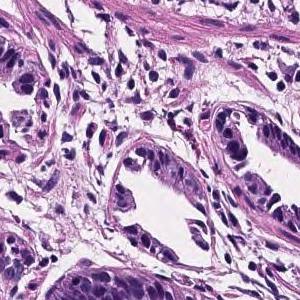
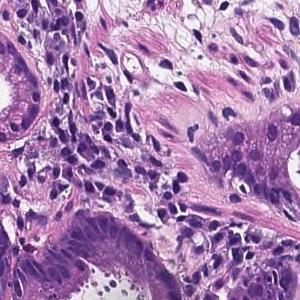
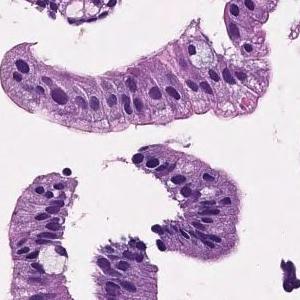
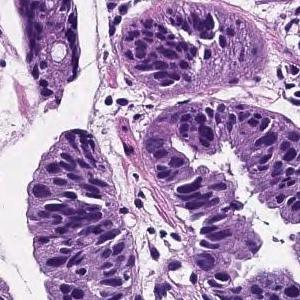
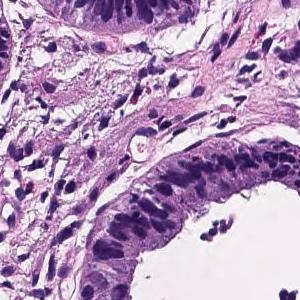
Scanned at ×20 · hematoxylin and eosin stain · 5 tiles cut from one stomach biopsy slide.
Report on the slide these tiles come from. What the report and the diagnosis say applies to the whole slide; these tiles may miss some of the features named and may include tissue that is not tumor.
Tumor cells are large, highly columnar, large club-shaped nuclei, and are associated with chromatin aggregation. Papillary adenocarcinoma.
